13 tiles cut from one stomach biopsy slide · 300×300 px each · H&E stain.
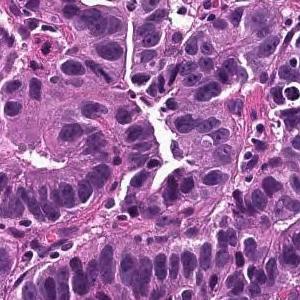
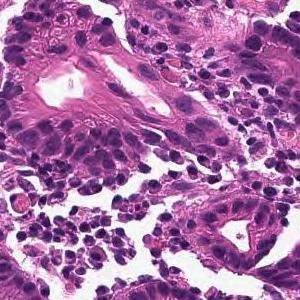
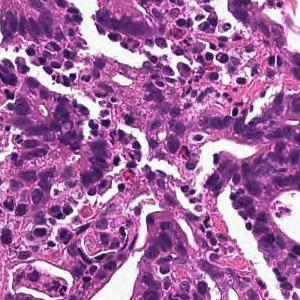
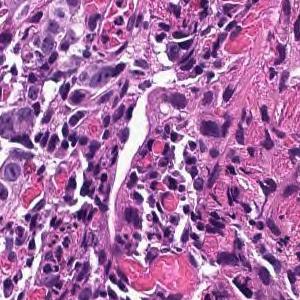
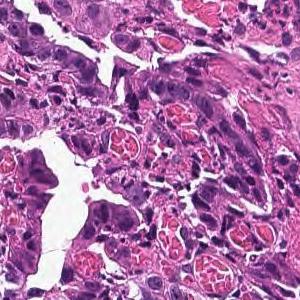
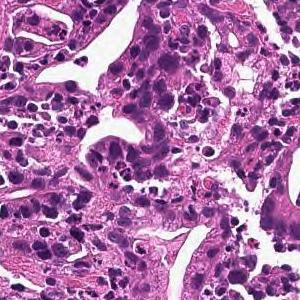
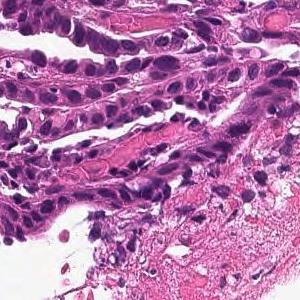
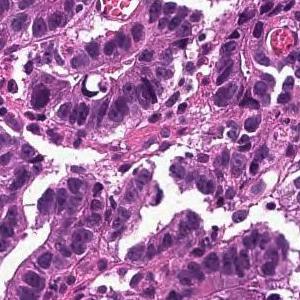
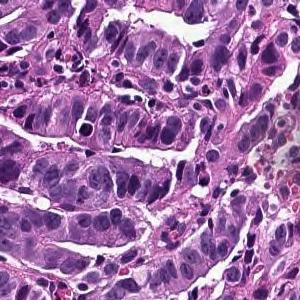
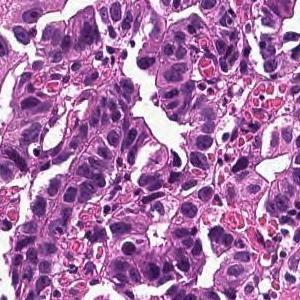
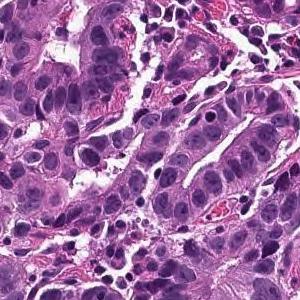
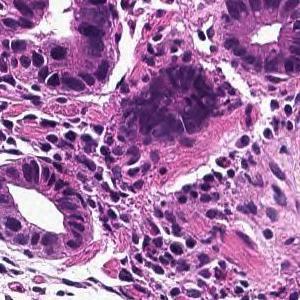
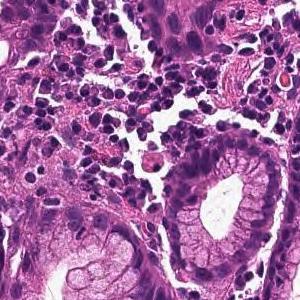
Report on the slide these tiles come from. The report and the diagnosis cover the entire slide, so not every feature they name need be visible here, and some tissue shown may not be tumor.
On the superficial epithelium, tumor tissue consisting of large, irregular glandular ducts partially fused and infiltrated is observed. Well to moderately differentiated tubular adenocarcinoma (well differentiated tubular adenocarcinoma, moderately differentiated tubular adenocarcinoma)
Tumor subtype: well to moderately differentiated tubular adenocarcinoma.
